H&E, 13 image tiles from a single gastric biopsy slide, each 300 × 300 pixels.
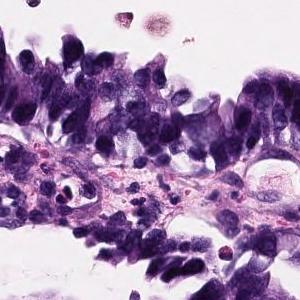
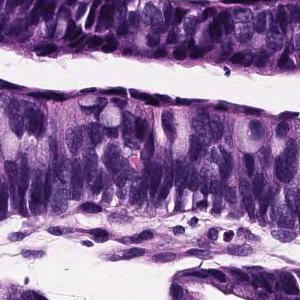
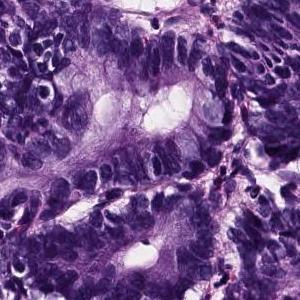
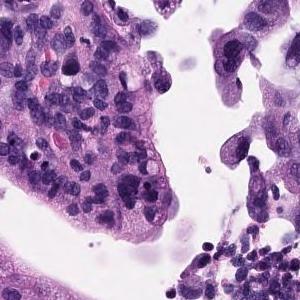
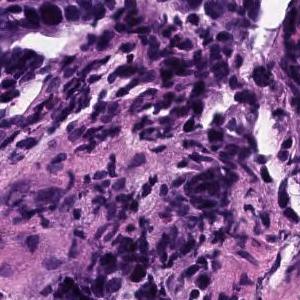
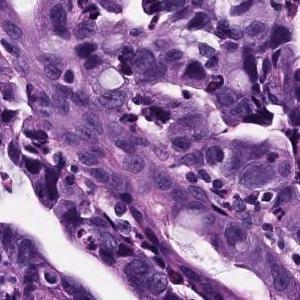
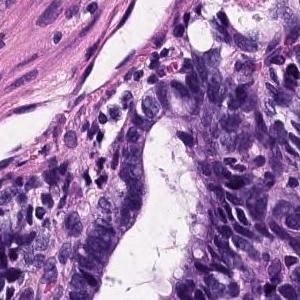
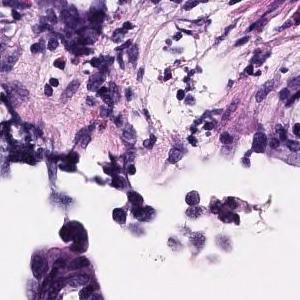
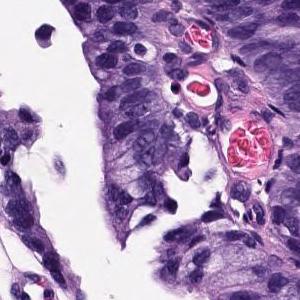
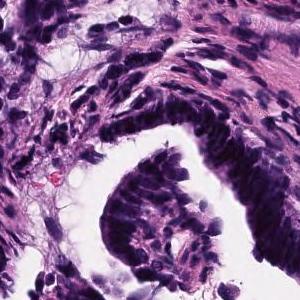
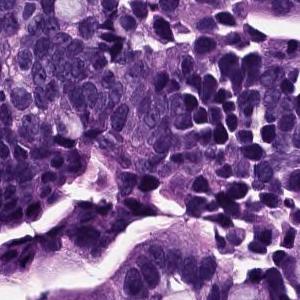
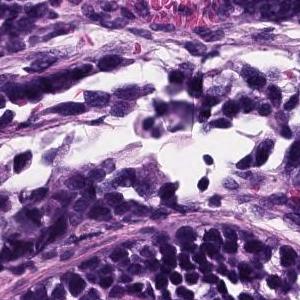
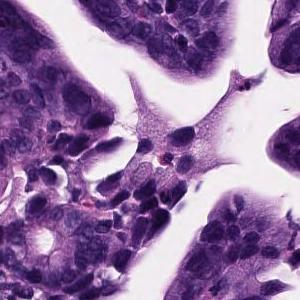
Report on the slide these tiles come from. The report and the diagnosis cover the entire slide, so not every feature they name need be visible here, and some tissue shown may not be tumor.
Atypical epithelium proliferating showing villus construction and irregular gland duct construction is observed. Moderately differentiated tubular adenocarcinoma.
